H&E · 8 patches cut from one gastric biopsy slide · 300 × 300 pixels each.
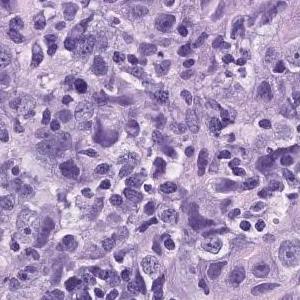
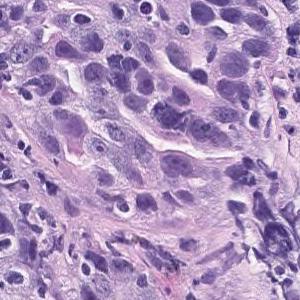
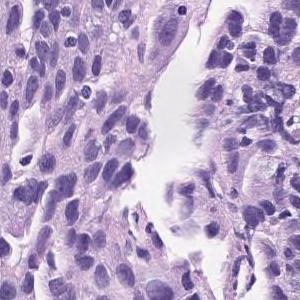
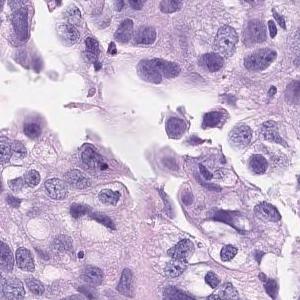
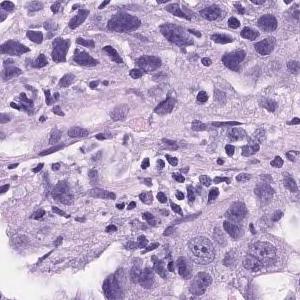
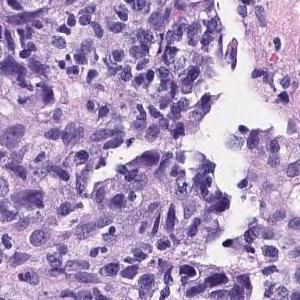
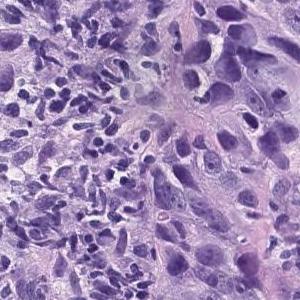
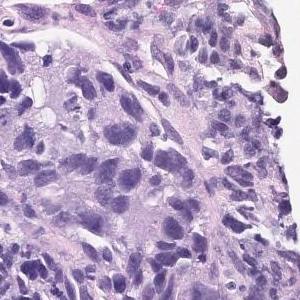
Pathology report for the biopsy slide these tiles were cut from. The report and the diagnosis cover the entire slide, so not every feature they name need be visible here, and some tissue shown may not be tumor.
The superficial epithelium shows a large sheet-like shape, and some tumor tissue infiltrates with small irregular ducts. Poorly differentiated adenocarcinoma, solid-type
Classified as poorly differentiated adenocarcinoma, solid type. This name comes from the Japanese Classification of Gastric Carcinoma; the WHO 2019 classification calls it tubular adenocarcinoma, poorly differentiated.
